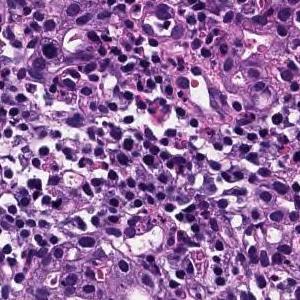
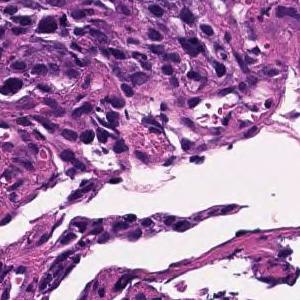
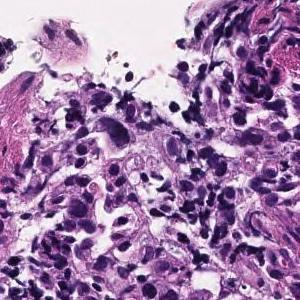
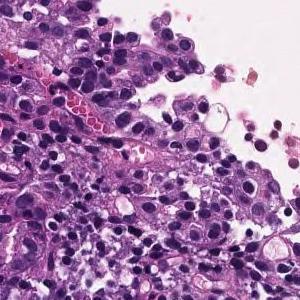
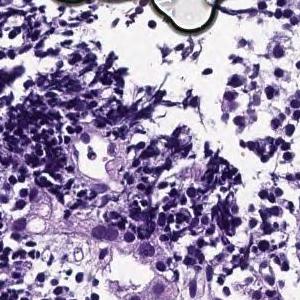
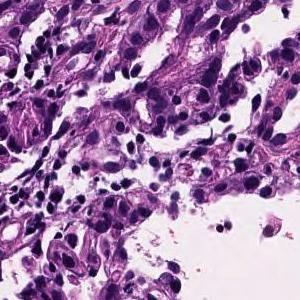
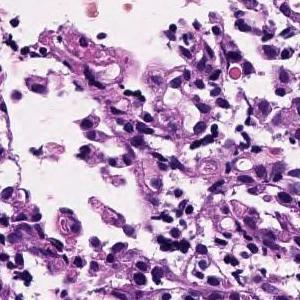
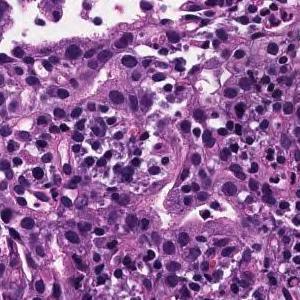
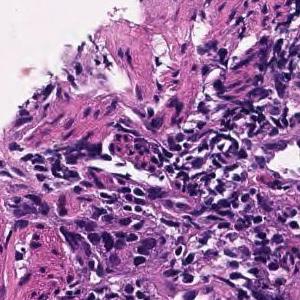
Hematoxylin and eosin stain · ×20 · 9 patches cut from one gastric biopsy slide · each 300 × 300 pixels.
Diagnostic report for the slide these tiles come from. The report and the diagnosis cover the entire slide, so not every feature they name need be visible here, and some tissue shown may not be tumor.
Medium to small, irregular glandular ducts are formed in the superficial epithelium, and in some cases, the glandular ducts are fused to show solid alveolar lesions and infiltrating tumor tissue is observed. Moderately to poorly differentiated adenocarcinoma.
